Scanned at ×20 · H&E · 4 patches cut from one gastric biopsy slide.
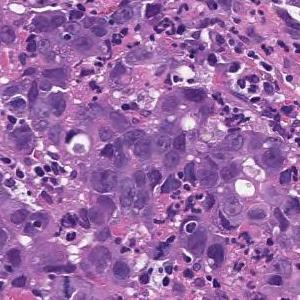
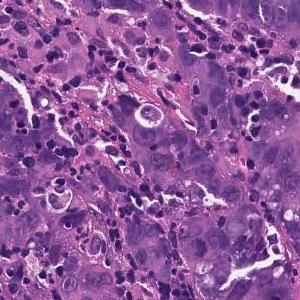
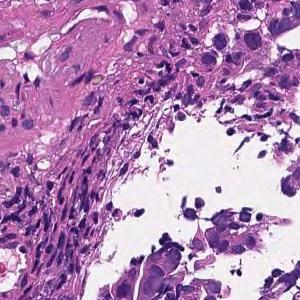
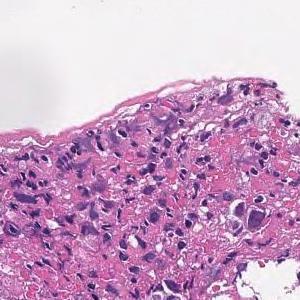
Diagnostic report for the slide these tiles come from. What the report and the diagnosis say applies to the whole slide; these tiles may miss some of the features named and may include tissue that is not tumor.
Tumor tissue consisting of cord-like or small, irregular glandular ducts fused and infiltrated is observed in the superficial epithelium. Poorly differentiated adenocarcinoma, non-solid type
The term "non-solid type" comes from the Japanese Classification of Gastric Carcinoma.
